7 tiles from the same stomach biopsy slide; H&E.
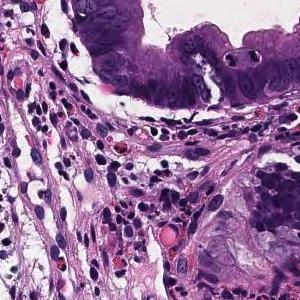
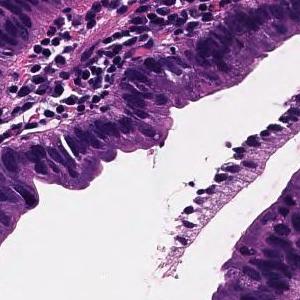
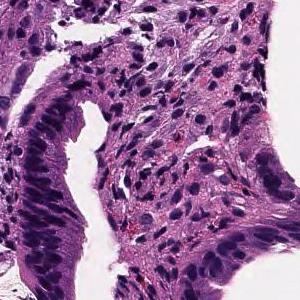
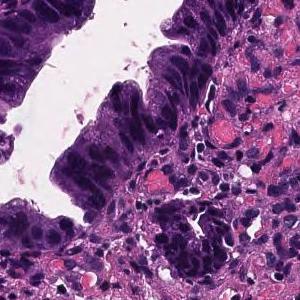
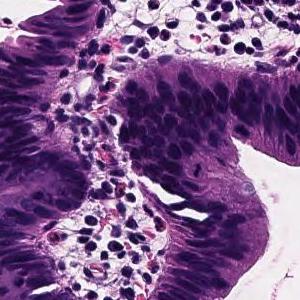
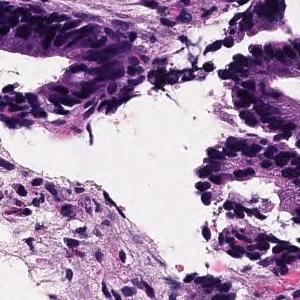
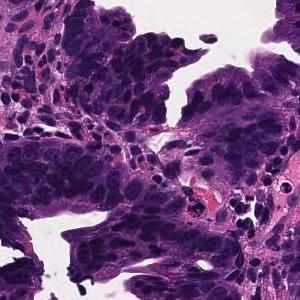
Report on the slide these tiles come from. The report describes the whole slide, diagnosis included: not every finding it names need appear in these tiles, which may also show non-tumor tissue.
Tumor cells are large, highly columnar, large club-shaped nuclei, and are associated with chromatin aggregation. Papillary adenocarcinoma.
